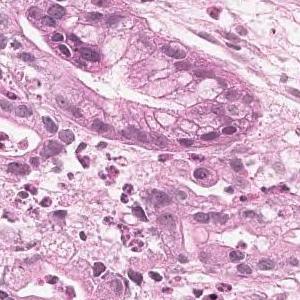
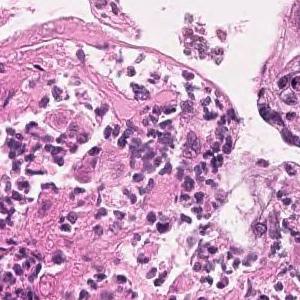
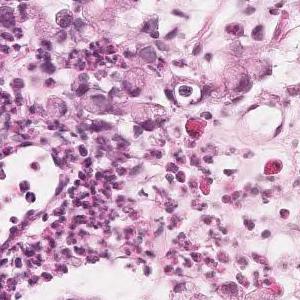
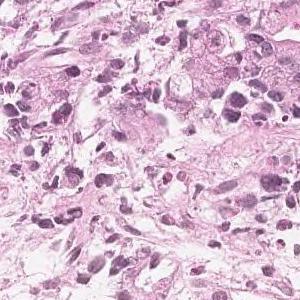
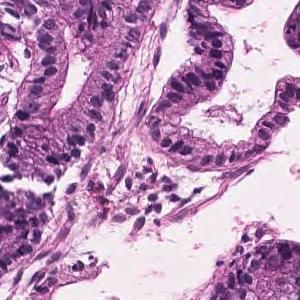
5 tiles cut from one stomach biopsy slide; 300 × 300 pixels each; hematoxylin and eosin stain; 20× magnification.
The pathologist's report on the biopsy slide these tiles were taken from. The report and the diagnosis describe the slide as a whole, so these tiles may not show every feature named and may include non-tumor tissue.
In the superficial epithelium, medium to small irregular gland ducts are formed, and in some cases, the ducts are fused to show solid alveolar lesions and infiltrating tumor tissue is observed. Moderately to poorly differentiated adenocarcinoma
